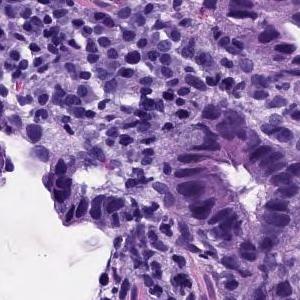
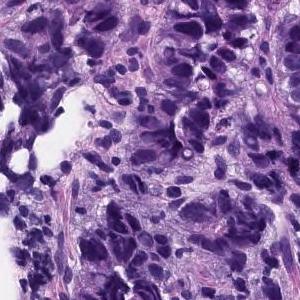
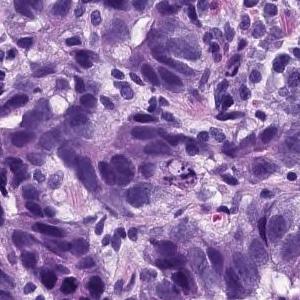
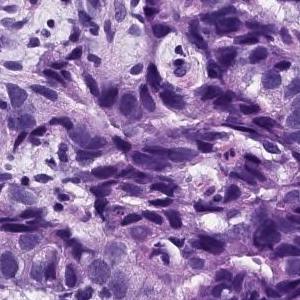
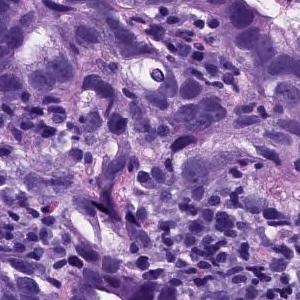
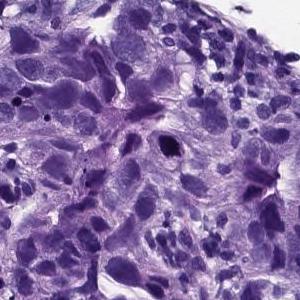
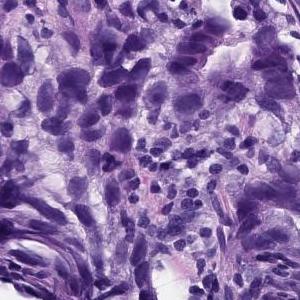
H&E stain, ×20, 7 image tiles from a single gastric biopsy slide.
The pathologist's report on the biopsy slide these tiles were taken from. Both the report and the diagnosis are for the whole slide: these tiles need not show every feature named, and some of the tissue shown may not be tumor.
In the superficial epithelium, tumor tissue that invades by forming medium-sized to small, irregular ducts is observed. Moderately differentiated adenocarcinoma.
Subtype: Moderately differentiated tubular adenocarcinoma.
